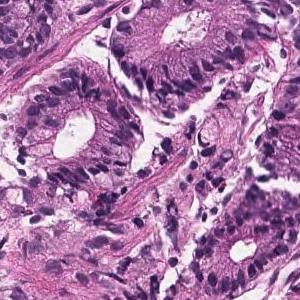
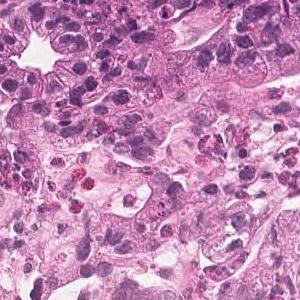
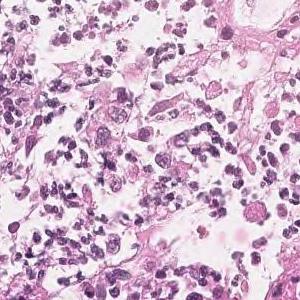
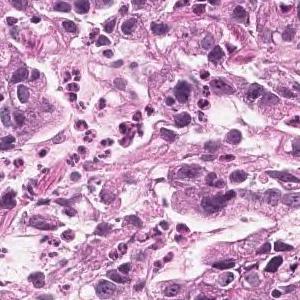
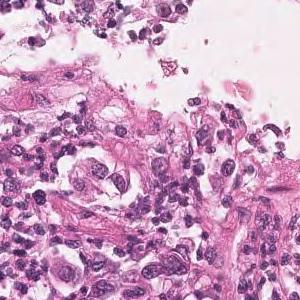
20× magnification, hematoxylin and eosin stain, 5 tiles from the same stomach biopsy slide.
Pathology report for the biopsy slide these tiles were cut from. The findings and the diagnosis refer to the entire slide; these tiles show only part of it, possibly with non-tumor tissue, and may not show every feature named.
In the superficial epithelium, medium to small irregular gland ducts are formed, and in some cases, the ducts are fused to show solid alveolar lesions and infiltrating tumor tissue is observed. Moderately to poorly differentiated adenocarcinoma
